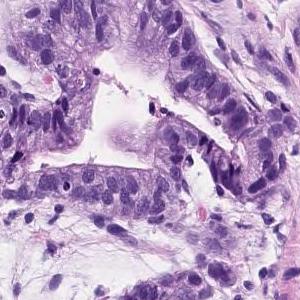
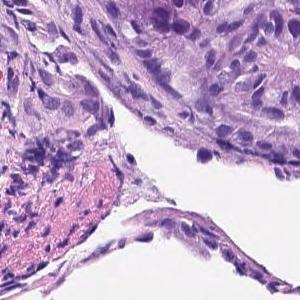
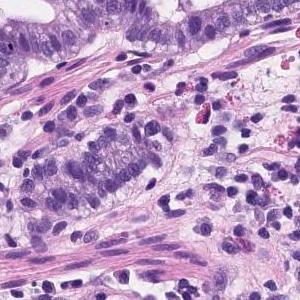
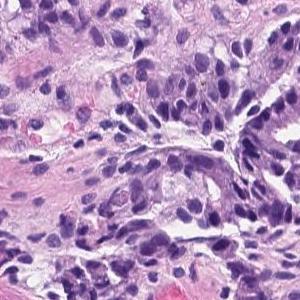
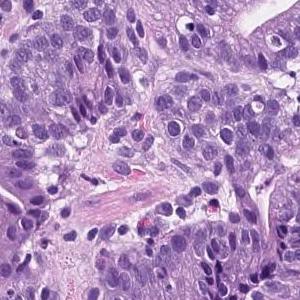
H&E stain · 20× magnification · 5 image tiles from a single gastric biopsy slide · each 300 × 300 pixels.
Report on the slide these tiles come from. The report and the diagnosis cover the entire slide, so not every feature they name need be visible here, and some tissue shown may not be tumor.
Tumor tissue consisting of medium-sized and irregular ducts is observed infiltrating in the superficial epithelium. Tumor cells are highly columnar, with nuclei aligned basolaterally and polarized. Well differentiated tubular adenocarcinoma.
